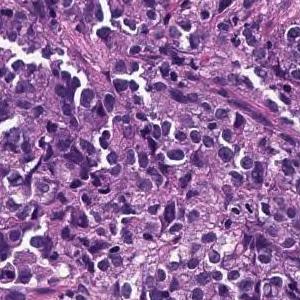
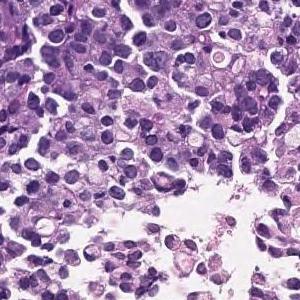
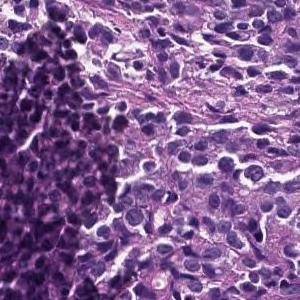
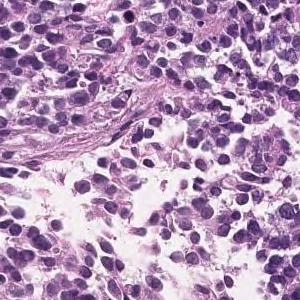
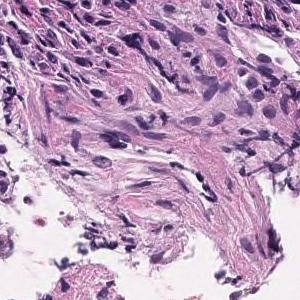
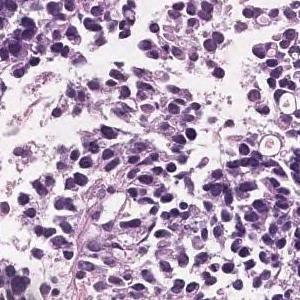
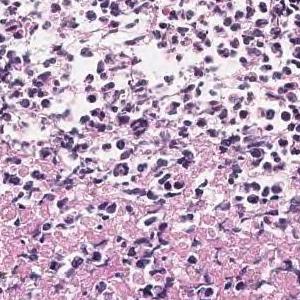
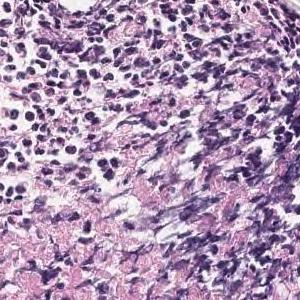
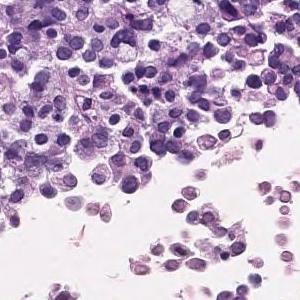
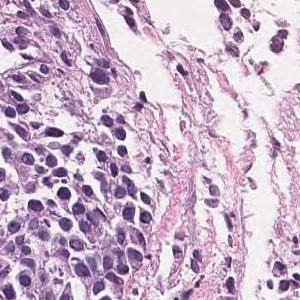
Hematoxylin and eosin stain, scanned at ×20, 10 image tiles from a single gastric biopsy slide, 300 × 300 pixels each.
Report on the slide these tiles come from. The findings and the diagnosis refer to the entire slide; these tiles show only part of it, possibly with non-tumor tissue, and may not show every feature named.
The superficial epithelium shows a large sheet-like shape, and some tumor tissue infiltrates with small irregular ducts. Poorly differentiated adenocarcinoma, solid-type
Histological subtype: Poorly differentiated adenocarcinoma, solid type (Japanese Classification of Gastric Carcinoma). The WHO 2019 equivalent is tubular adenocarcinoma, poorly differentiated.
